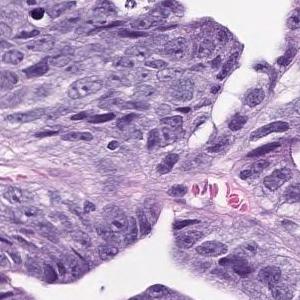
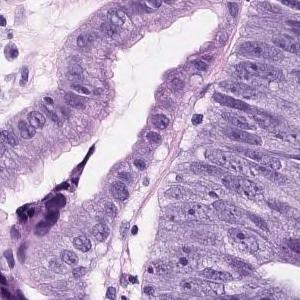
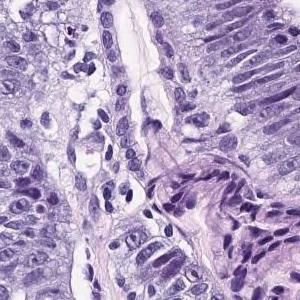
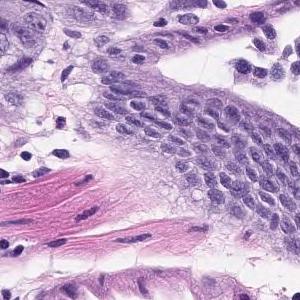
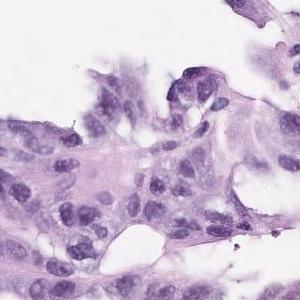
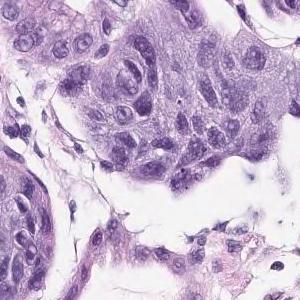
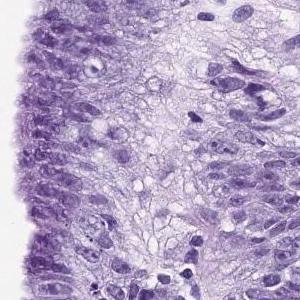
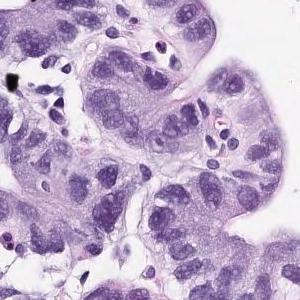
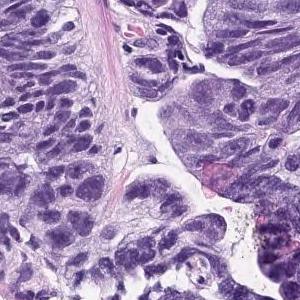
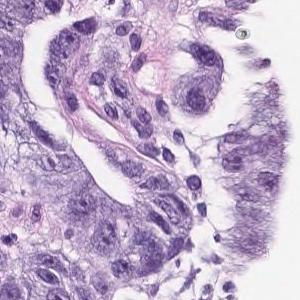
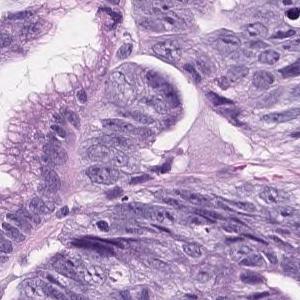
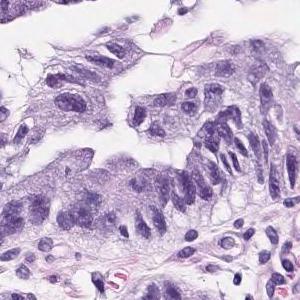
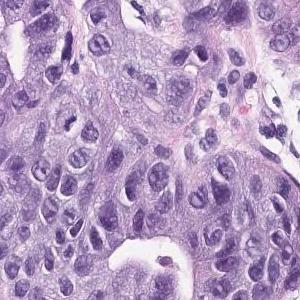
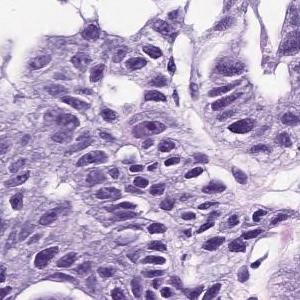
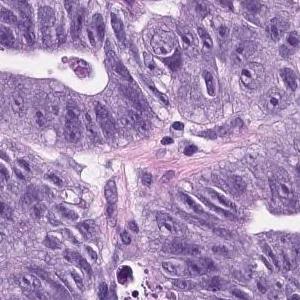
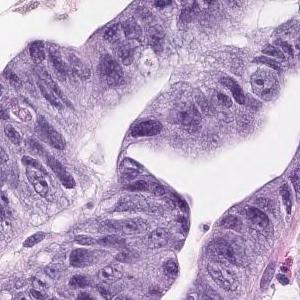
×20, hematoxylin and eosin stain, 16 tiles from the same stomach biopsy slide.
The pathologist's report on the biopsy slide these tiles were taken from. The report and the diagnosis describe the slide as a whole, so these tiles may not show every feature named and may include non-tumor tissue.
In the superficial epithelium, tumor tissue that invades by forming medium-sized to small, irregular ducts is observed. Moderately differentiated adenocarcinoma.
Classified as moderately differentiated tubular adenocarcinoma.
